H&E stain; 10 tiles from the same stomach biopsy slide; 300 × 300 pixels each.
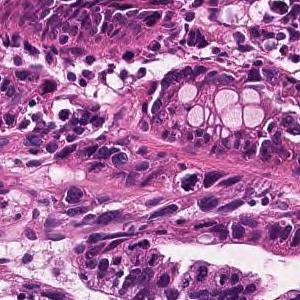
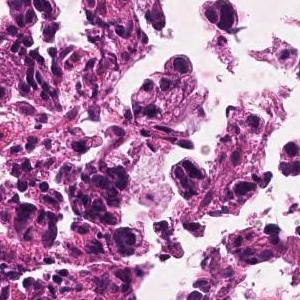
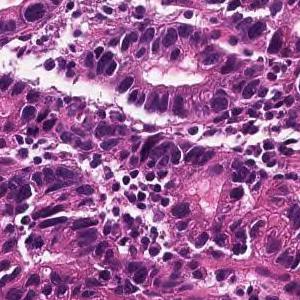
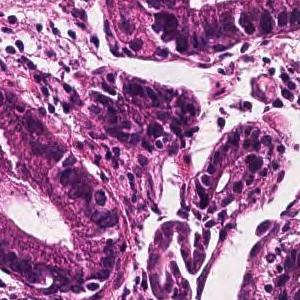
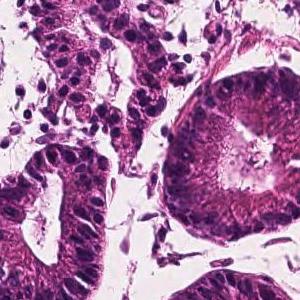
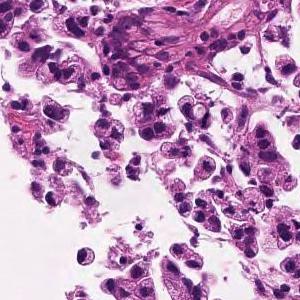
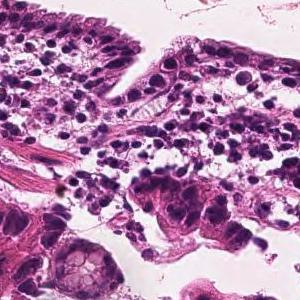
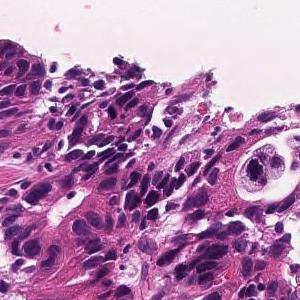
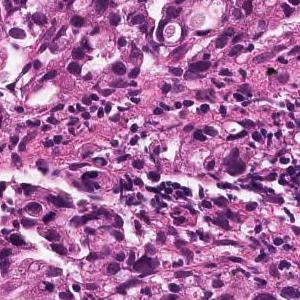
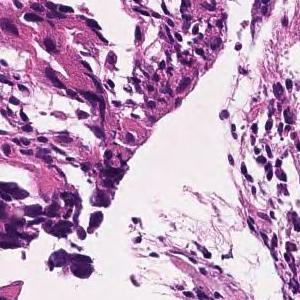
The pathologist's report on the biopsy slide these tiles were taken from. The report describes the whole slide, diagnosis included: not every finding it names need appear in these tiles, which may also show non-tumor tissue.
In the superficial epithelium, tumor tissue that invades by forming medium-sized to small, irregular ducts is observed. moderately differentiated tubular adenocarcinoma.
